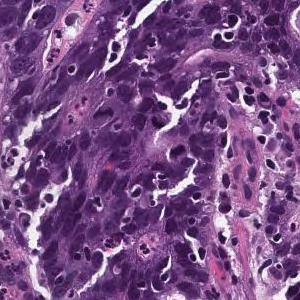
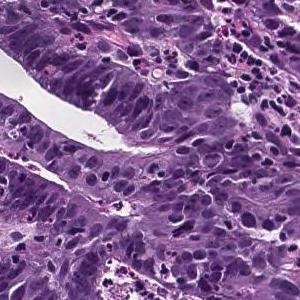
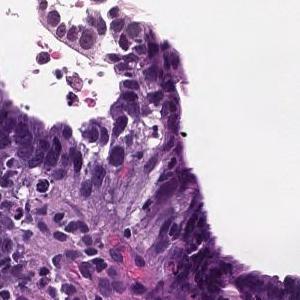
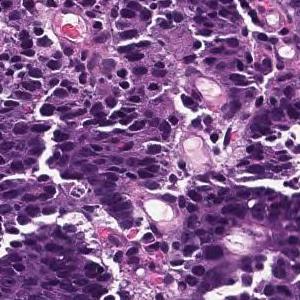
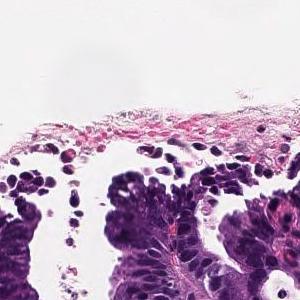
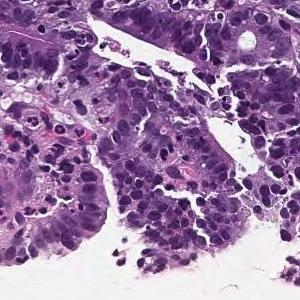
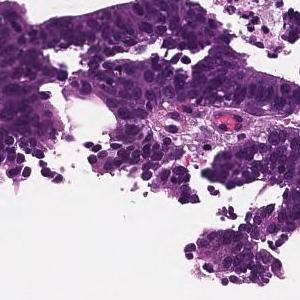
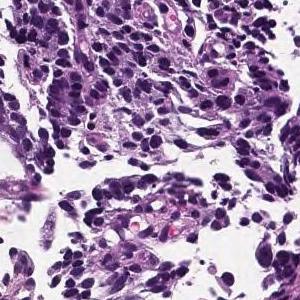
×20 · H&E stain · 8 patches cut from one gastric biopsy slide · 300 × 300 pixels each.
Diagnostic report for the slide these tiles come from. Both the report and the diagnosis are for the whole slide: these tiles need not show every feature named, and some of the tissue shown may not be tumor.
On the superficial epithelium, tumor tissue is found in which medium-sized irregular gland ducts fuse with each other and infiltrate. moderately differentiated tubular adenocarcinoma
